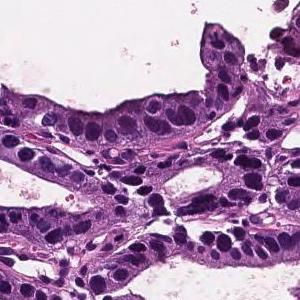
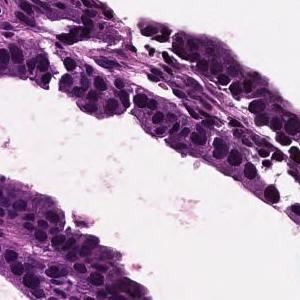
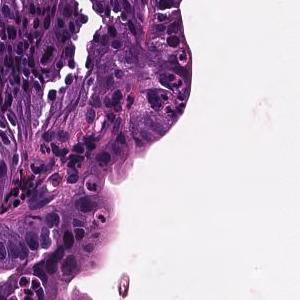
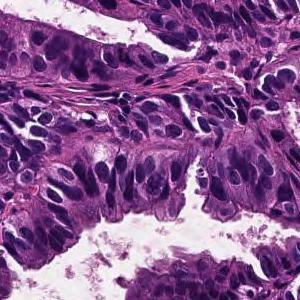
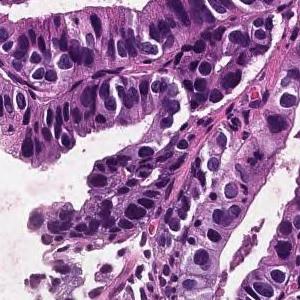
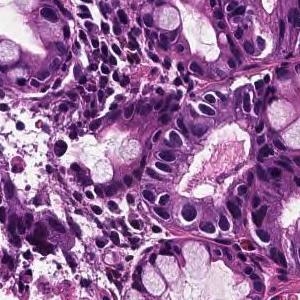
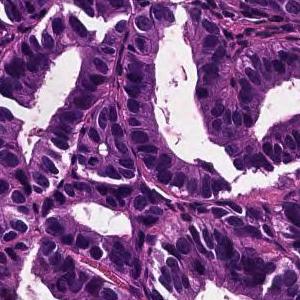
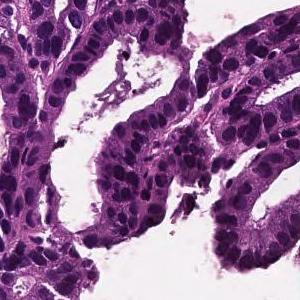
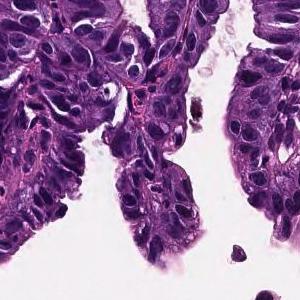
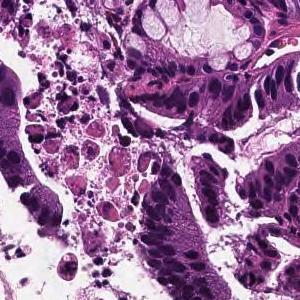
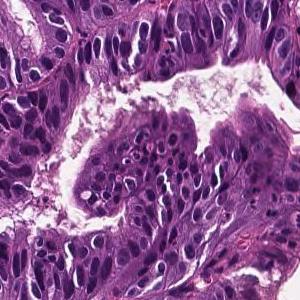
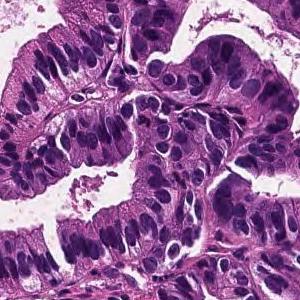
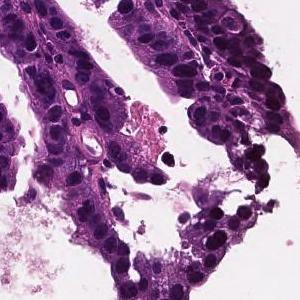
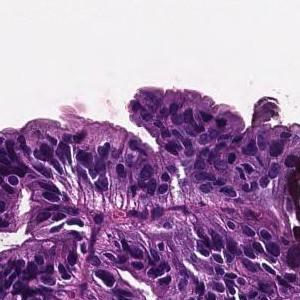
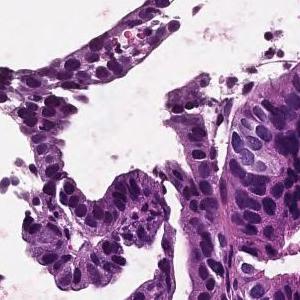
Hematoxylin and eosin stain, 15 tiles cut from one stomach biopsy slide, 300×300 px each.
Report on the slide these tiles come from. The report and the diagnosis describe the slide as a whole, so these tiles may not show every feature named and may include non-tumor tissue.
From the superficial epithelium to the muscularis mucosae, tumor tissue consisting of medium-sized and irregular glandular ducts infiltrating is observed. Well differentiated tubular adenocarcinoma
